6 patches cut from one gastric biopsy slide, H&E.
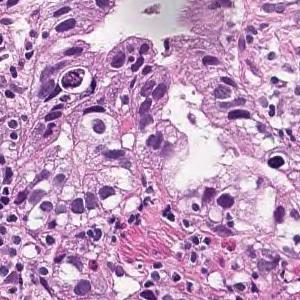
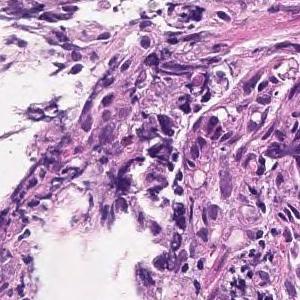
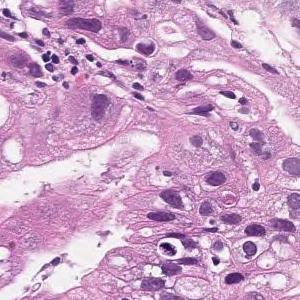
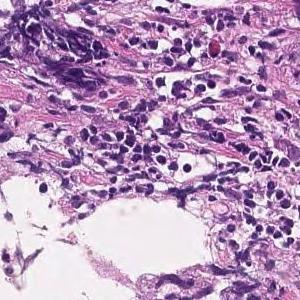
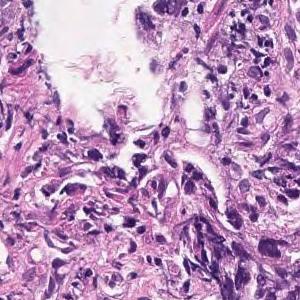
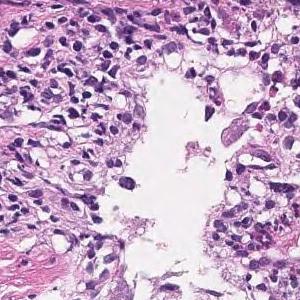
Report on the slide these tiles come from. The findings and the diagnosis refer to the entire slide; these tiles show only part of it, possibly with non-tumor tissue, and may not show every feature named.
In the superficial epithelium, tumor tissue that invades by forming medium-sized to small, irregular ducts is observed. moderately differentiated tubular adenocarcinoma.
